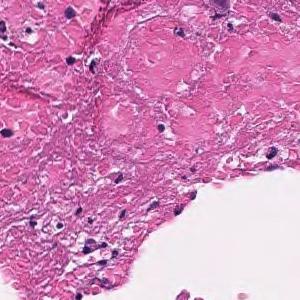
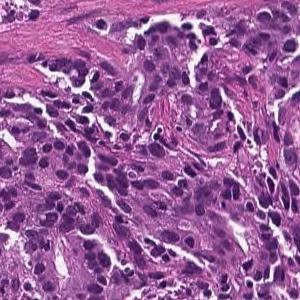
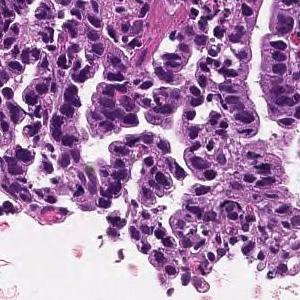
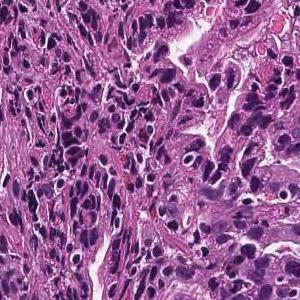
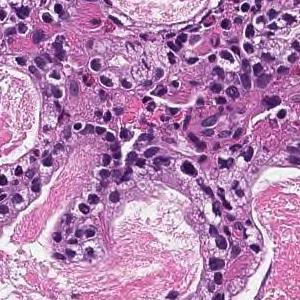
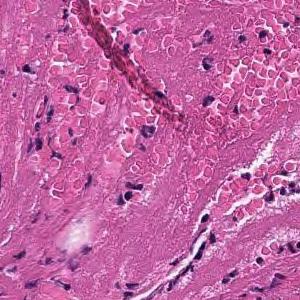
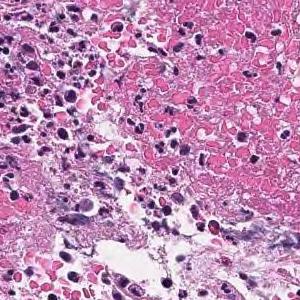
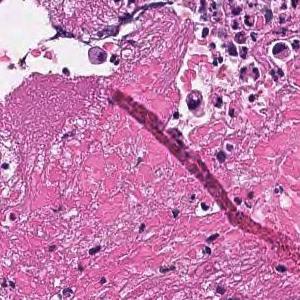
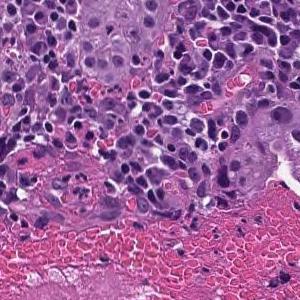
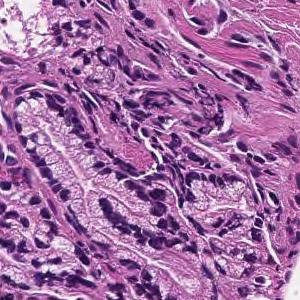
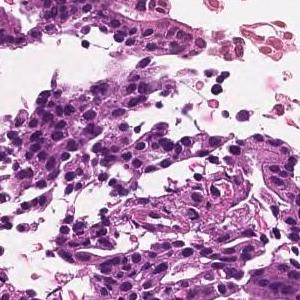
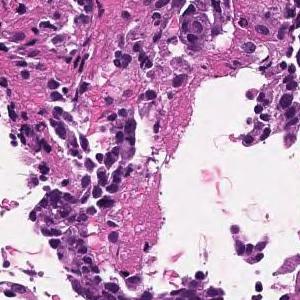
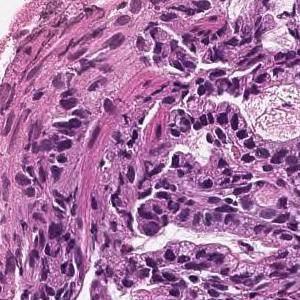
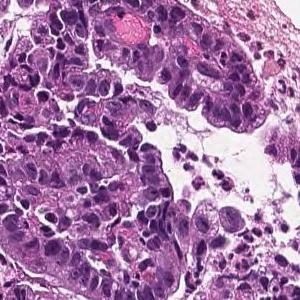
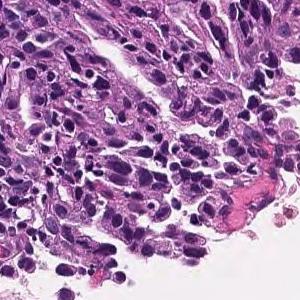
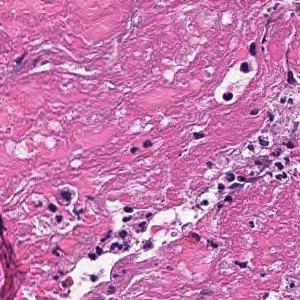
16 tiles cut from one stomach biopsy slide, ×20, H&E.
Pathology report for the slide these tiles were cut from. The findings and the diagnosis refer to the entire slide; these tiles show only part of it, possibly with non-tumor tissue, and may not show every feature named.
On the superficial epithelium, tumor tissue that infiltrates by forming medium-sized papillary or small irregular ducts is observed. Papillary adenocarcinoma
